Hematoxylin and eosin stain · 4 tiles from the same stomach biopsy slide.
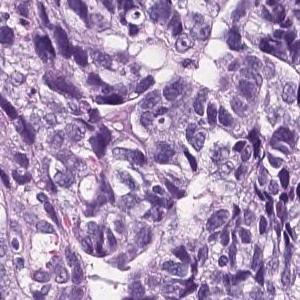
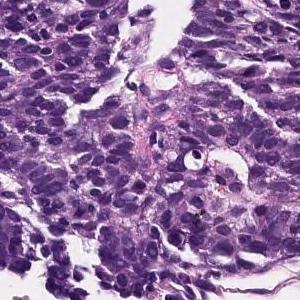
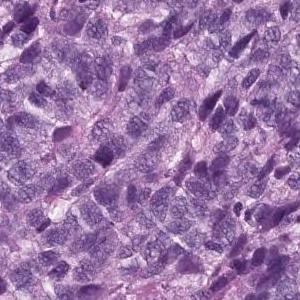
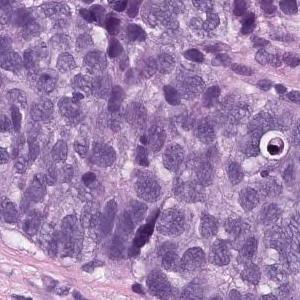
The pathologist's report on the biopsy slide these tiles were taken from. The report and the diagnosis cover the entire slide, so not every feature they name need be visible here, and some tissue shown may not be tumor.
Epithelial cells with swollen nuclei with atypia invasively proliferating while forming vesicles is observed. Poorly differentiated adenocarcinoma
Histological subtype: Poorly differentiated adenocarcinoma, solid type (Japanese Classification of Gastric Carcinoma). The WHO 2019 equivalent is tubular adenocarcinoma, poorly differentiated.
